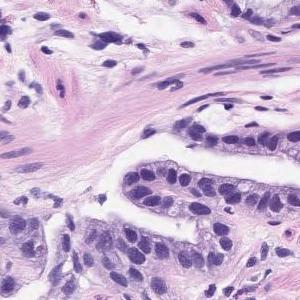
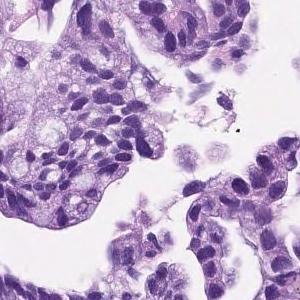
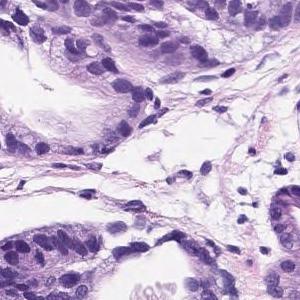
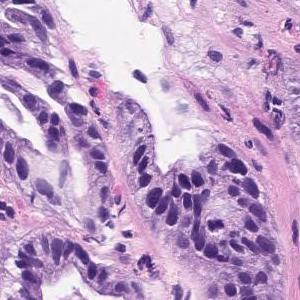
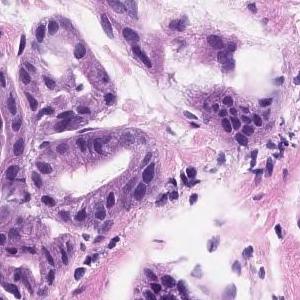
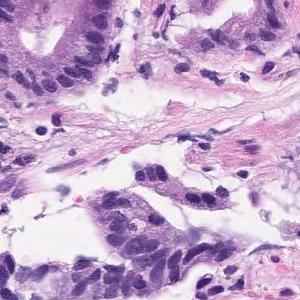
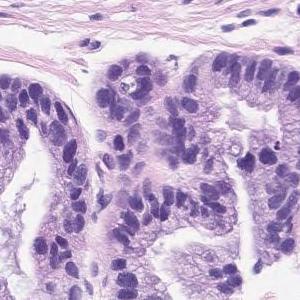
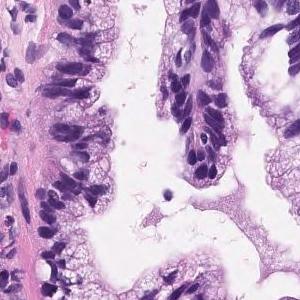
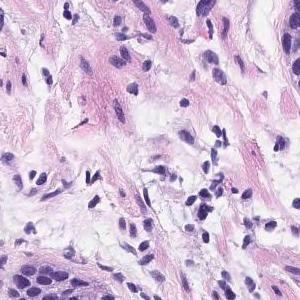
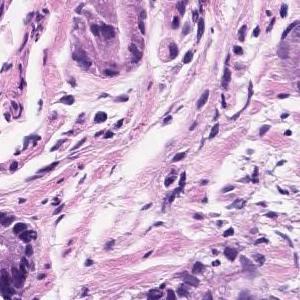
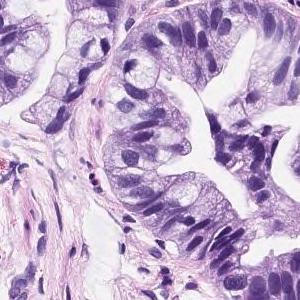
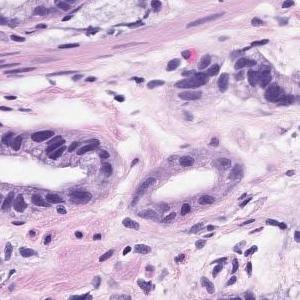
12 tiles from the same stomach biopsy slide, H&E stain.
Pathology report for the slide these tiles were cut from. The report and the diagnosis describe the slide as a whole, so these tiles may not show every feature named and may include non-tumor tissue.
The superficial tumors shows large papillary structures or large and small ducts and infiltrates. Papillary adenocarcinoma.
